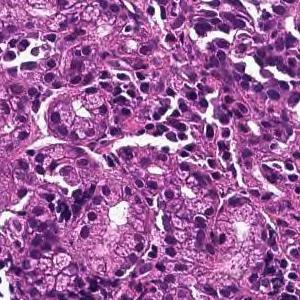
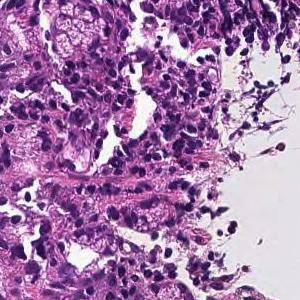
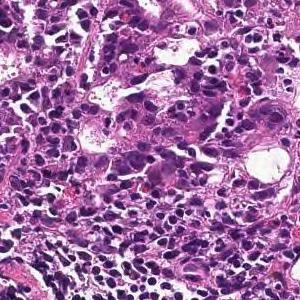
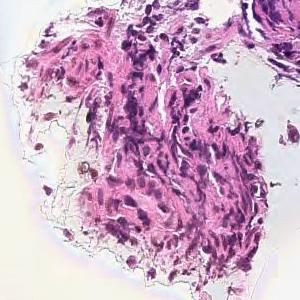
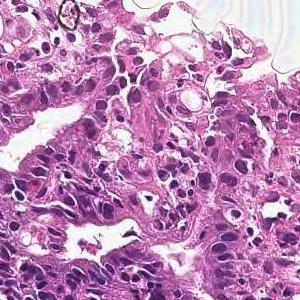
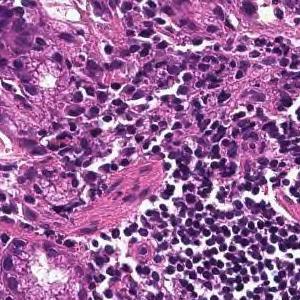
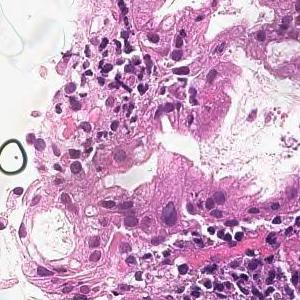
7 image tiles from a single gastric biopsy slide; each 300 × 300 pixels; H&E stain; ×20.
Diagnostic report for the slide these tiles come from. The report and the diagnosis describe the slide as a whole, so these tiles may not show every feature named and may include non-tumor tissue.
In the superficial epithelium, tumor tissue that invades by forming medium-sized to small, irregular ducts is observed. moderately differentiated tubular adenocarcinoma.
